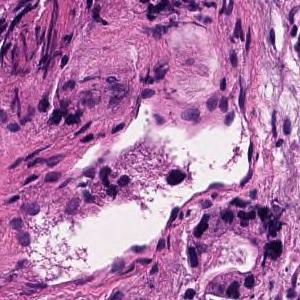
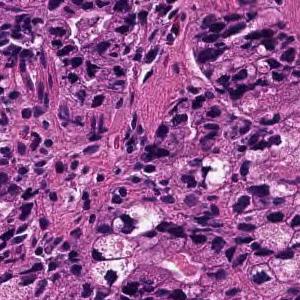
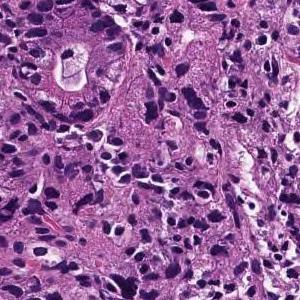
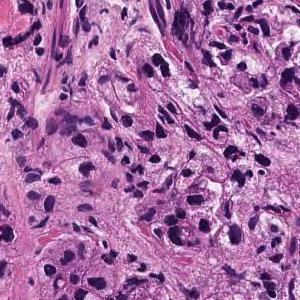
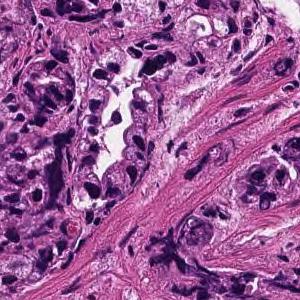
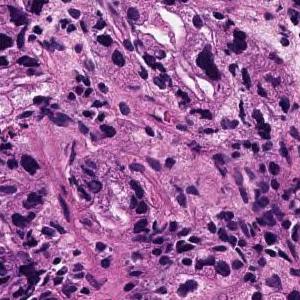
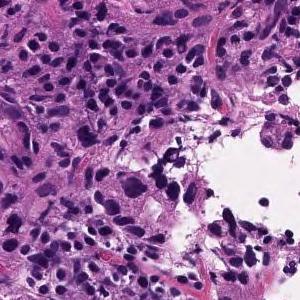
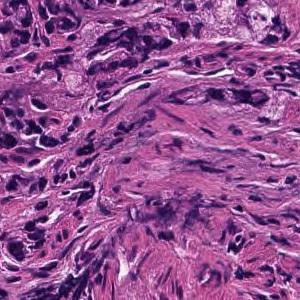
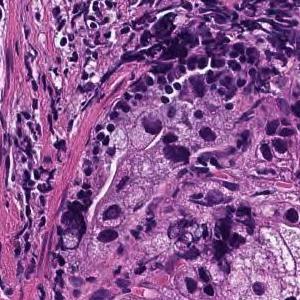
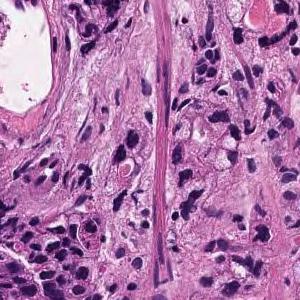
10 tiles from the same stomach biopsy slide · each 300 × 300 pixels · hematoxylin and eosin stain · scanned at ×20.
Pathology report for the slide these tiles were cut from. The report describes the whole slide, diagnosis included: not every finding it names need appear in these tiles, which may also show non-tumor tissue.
In the superficial epithelium, tumor tissue that invades by forming medium-sized to small, irregular ducts is observed. moderately differentiated tubular adenocarcinoma.
